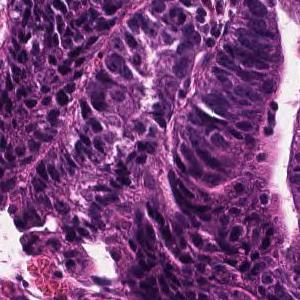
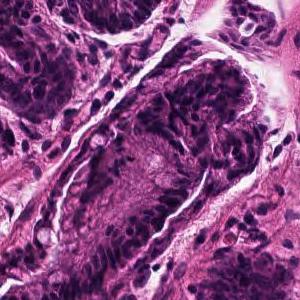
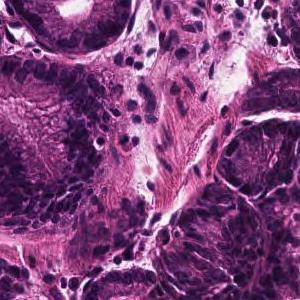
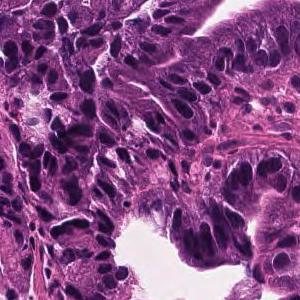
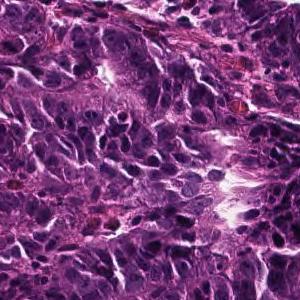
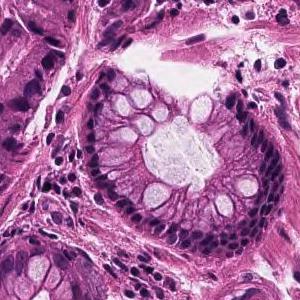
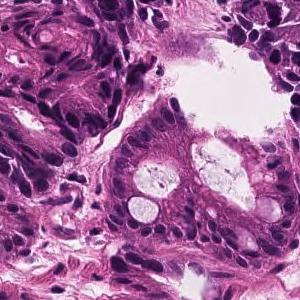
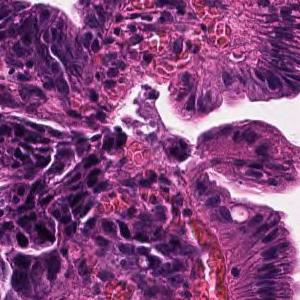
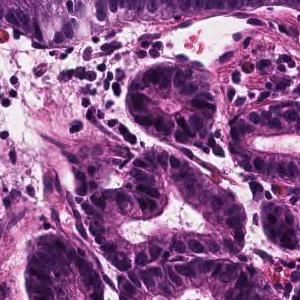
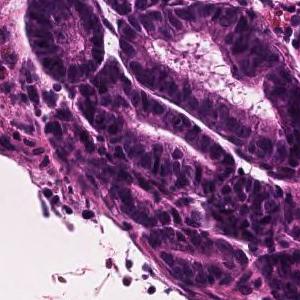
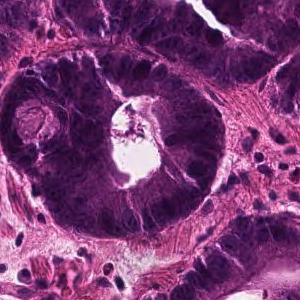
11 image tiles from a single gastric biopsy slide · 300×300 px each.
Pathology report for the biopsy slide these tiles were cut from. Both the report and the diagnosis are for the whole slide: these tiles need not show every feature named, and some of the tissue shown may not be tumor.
In the superficial epithelium, tumor tissue that invades by forming medium-sized to small, irregular ducts is observed. Well differentiated tubular adenocarcinoma.
